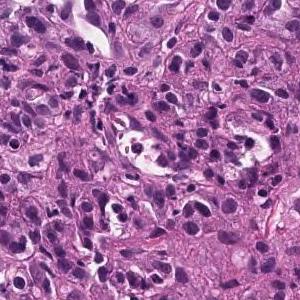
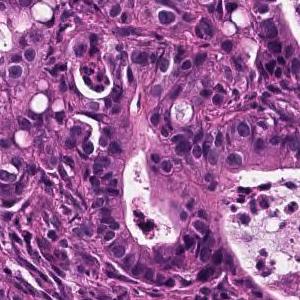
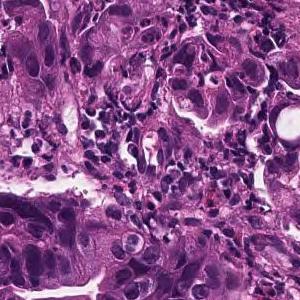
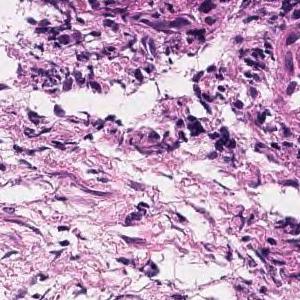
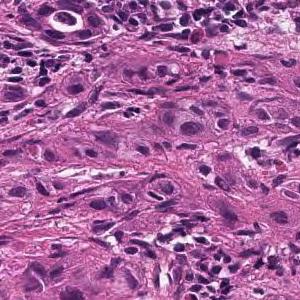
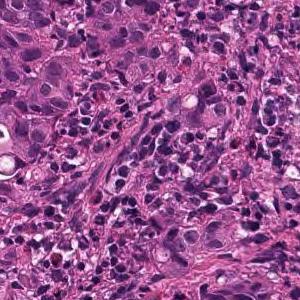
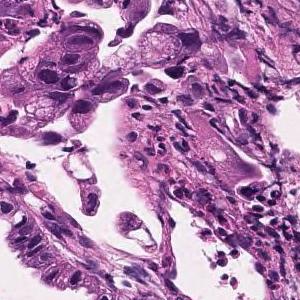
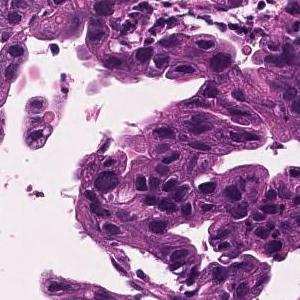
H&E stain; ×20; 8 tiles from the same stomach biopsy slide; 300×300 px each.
The pathologist's report on the biopsy slide these tiles were taken from. Both the report and the diagnosis are for the whole slide: these tiles need not show every feature named, and some of the tissue shown may not be tumor.
Tumor tissue consisting of medium-sized, cord-like or irregular glandular infiltration is observed in the superficial epithelium. Poorly differentiated adenocarcinoma, non-solid type or moderately differentiated tubular adenocarcinoma
"Non-solid type" is a category of the Japanese Classification of Gastric Carcinoma.
